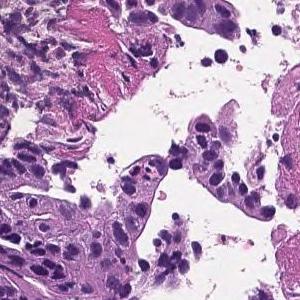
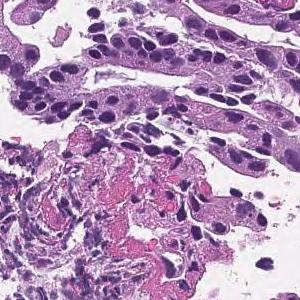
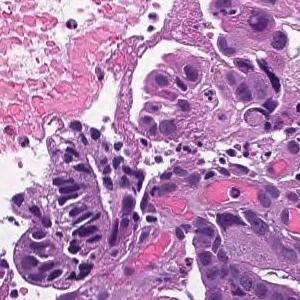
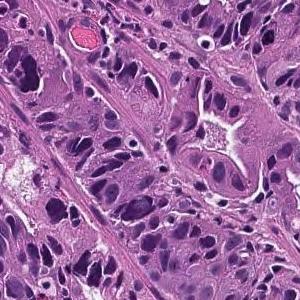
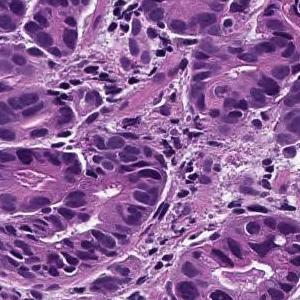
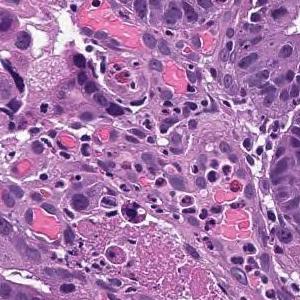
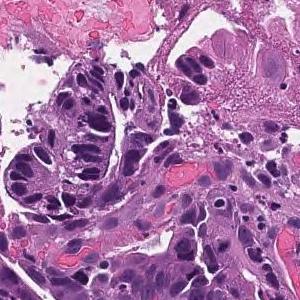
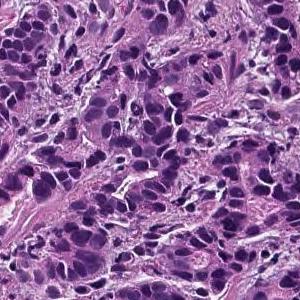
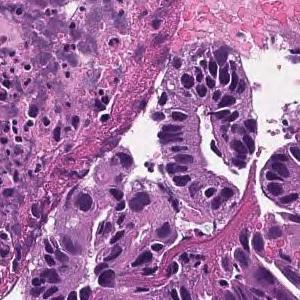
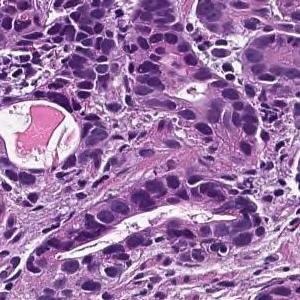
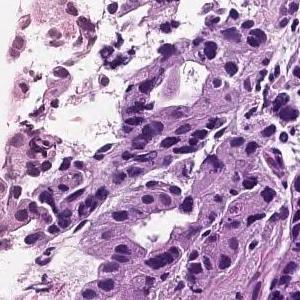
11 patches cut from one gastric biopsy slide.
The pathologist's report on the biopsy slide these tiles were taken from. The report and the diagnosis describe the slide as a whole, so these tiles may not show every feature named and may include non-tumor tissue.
In the superficial epithelium, tumor tissue that invades by forming medium-sized to small, irregular ducts is observed. moderately differentiated tubular adenocarcinoma.
